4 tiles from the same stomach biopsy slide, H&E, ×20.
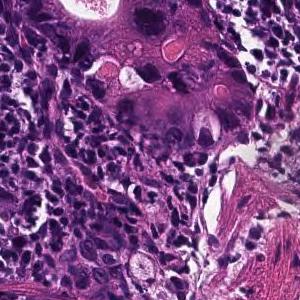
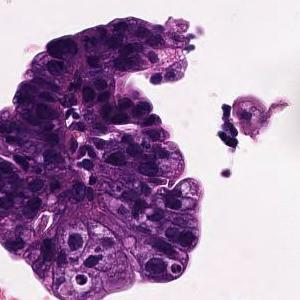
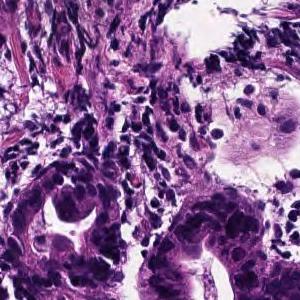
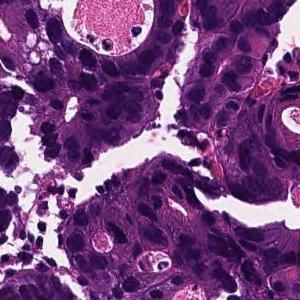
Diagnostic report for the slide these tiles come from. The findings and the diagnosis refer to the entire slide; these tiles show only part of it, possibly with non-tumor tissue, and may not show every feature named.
From the superficial epithelium to the muscularis mucosae, tumor tissue infiltrating by forming medium-sized irregular gland ducts is observed. Large tumor cells exhibit large nucleus and hyperchromatism. Well differentiated tubular adenocarcinoma
